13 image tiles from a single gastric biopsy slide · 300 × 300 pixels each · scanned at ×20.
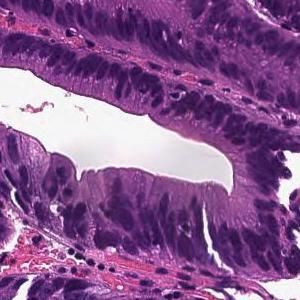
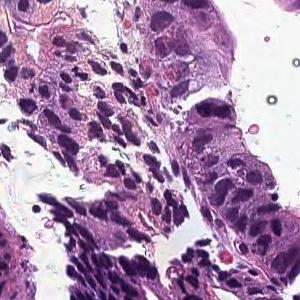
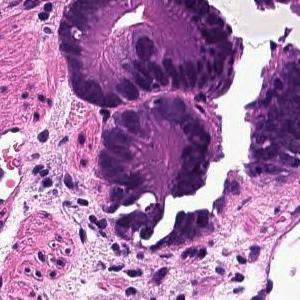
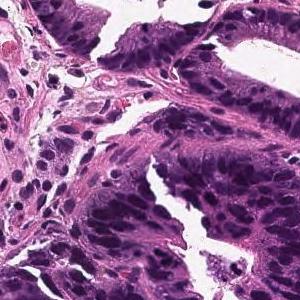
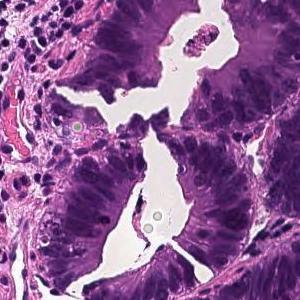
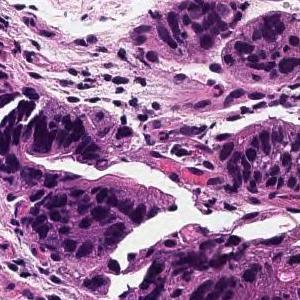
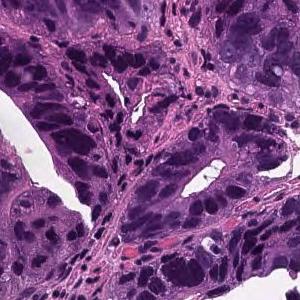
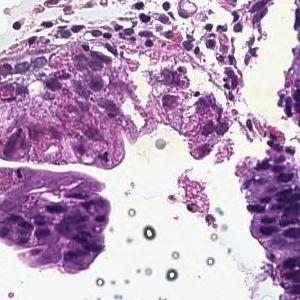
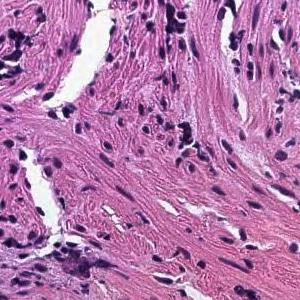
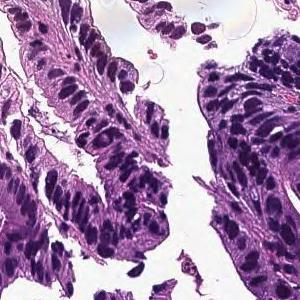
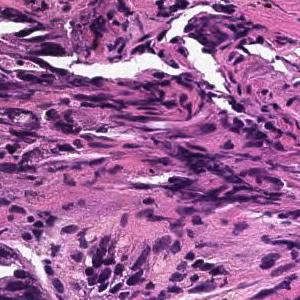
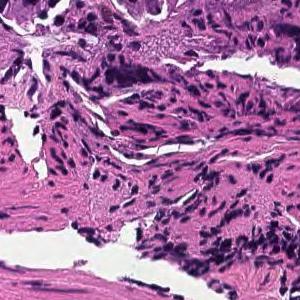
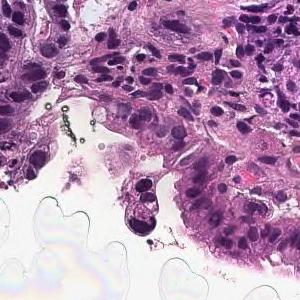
Report on the slide these tiles come from. The findings and the diagnosis refer to the entire slide; these tiles show only part of it, possibly with non-tumor tissue, and may not show every feature named.
In the superficial epithelium, tumor tissue that invades by forming medium-sized to small, irregular ducts is observed. moderately differentiated tubular adenocarcinoma.
